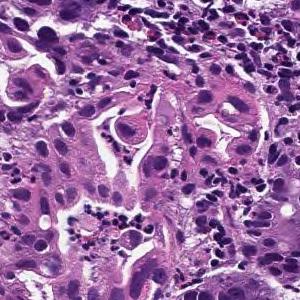
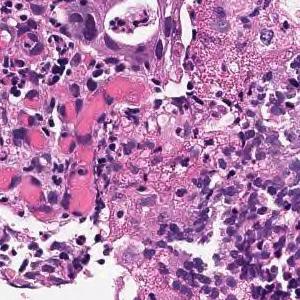
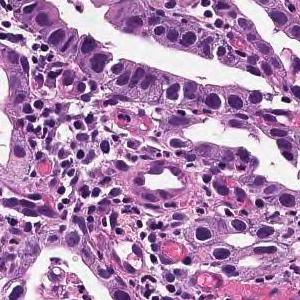
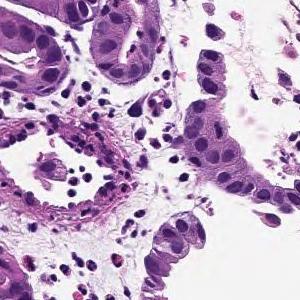
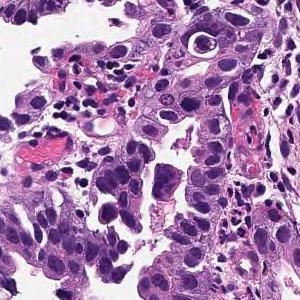
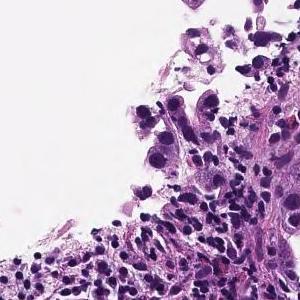
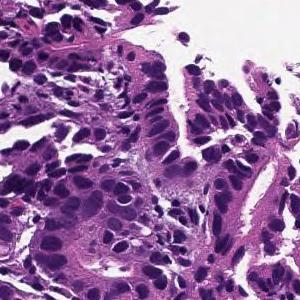
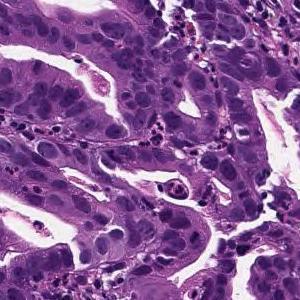
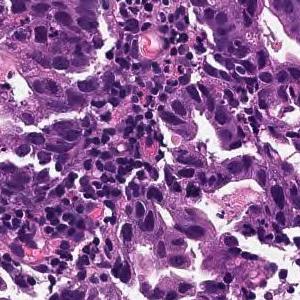
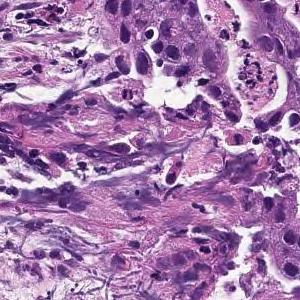
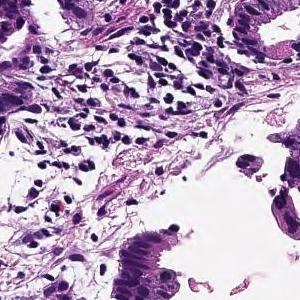
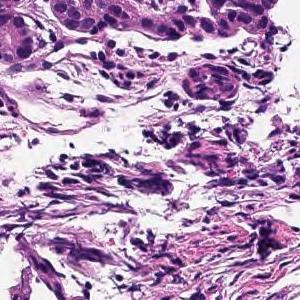
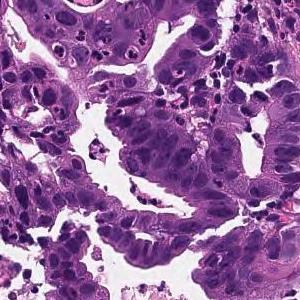
13 tiles cut from one stomach biopsy slide · H&E · 20× magnification.
Diagnostic report for the slide these tiles come from. The report describes the whole slide, diagnosis included: not every finding it names need appear in these tiles, which may also show non-tumor tissue.
In the superficial epithelium, tumor tissue that invades by forming medium-sized to small, irregular ducts is observed. moderately differentiated tubular adenocarcinoma.
